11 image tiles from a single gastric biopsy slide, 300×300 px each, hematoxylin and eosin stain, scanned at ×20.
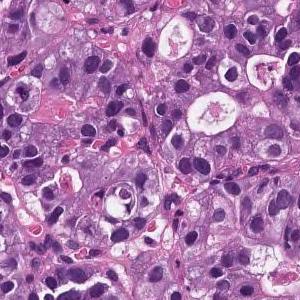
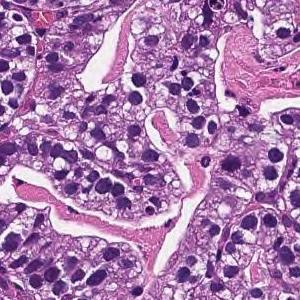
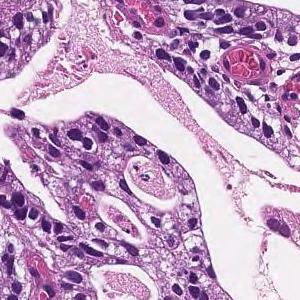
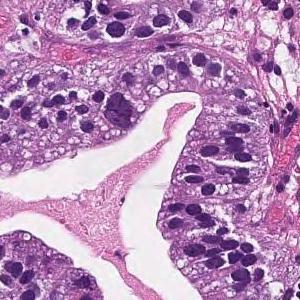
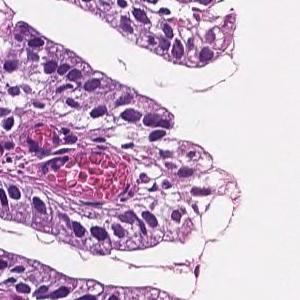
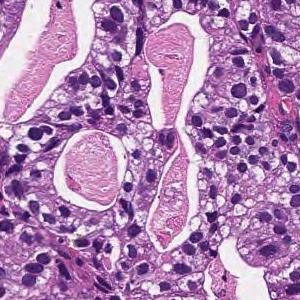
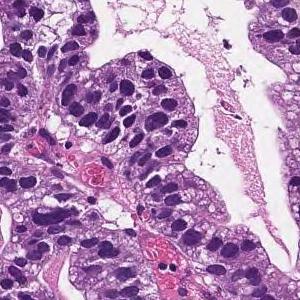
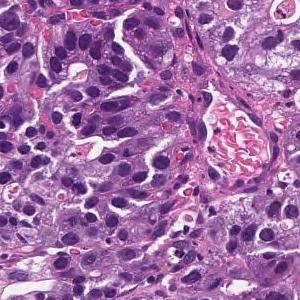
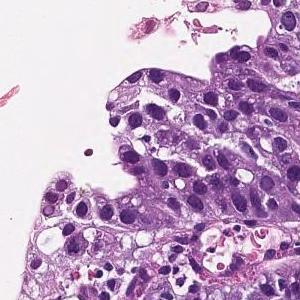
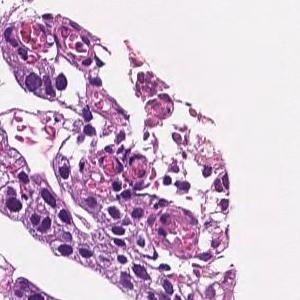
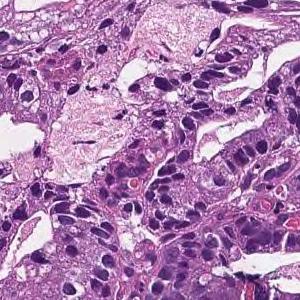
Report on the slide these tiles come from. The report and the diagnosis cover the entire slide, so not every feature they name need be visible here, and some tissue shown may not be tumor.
On the superficial epithelium, tumor tissue consisting of large, irregular glandular ducts partially fused and infiltrated is observed. Well to moderately differentiated tubular adenocarcinoma (well differentiated tubular adenocarcinoma, moderately differentiated tubular adenocarcinoma)
Subtype: Well to moderately differentiated tubular adenocarcinoma.
